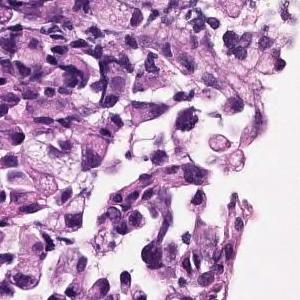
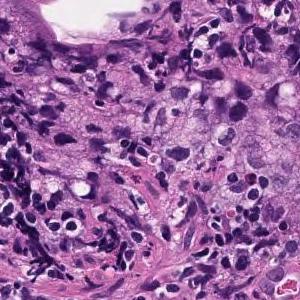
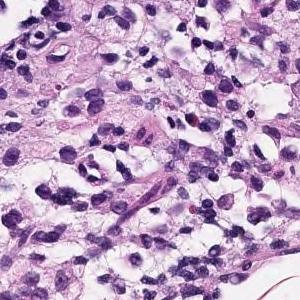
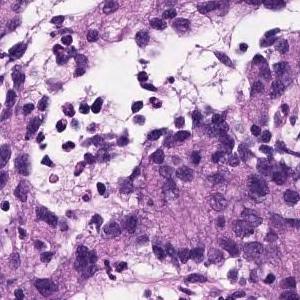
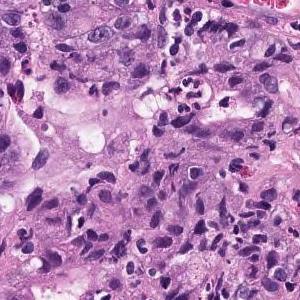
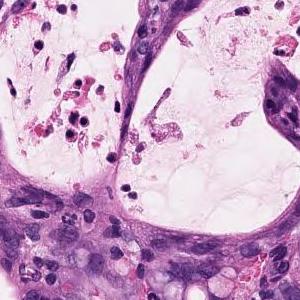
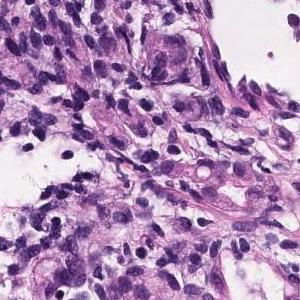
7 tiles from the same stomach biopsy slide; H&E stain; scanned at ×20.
Pathology report for the slide these tiles were cut from. What the report and the diagnosis say applies to the whole slide; these tiles may miss some of the features named and may include tissue that is not tumor.
Atypical epithelium forms irregularly fused gland ducts and proliferates. Poorly differentiated adenocarcinoma.
Subtype: Poorly differentiated adenocarcinoma, non-solid type.
"Non-solid type" is a category of the Japanese Classification of Gastric Carcinoma.
